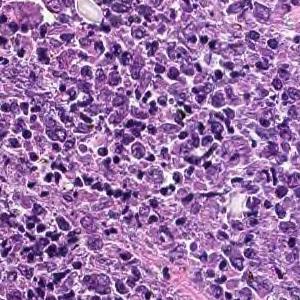
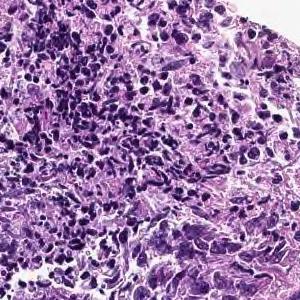
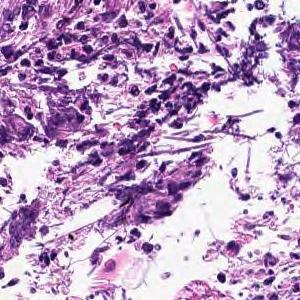
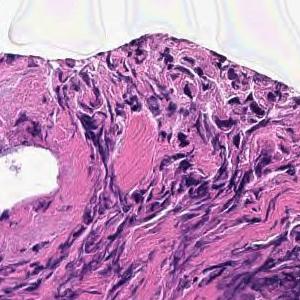
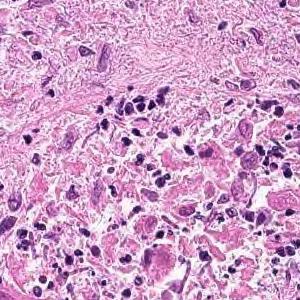
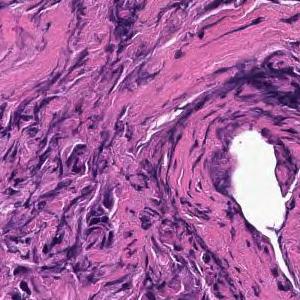
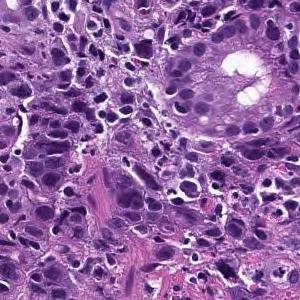
×20 · hematoxylin and eosin stain · 7 tiles cut from one stomach biopsy slide · each 300 × 300 pixels.
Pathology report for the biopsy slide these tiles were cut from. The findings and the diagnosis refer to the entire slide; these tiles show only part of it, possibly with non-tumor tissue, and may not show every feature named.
Cancers with polygonal nuclei do not show glandular formation and are densely, in part, cord-like and proliferate. Poorly differentiated adenocarcinoma
Histological subtype: Poorly differentiated adenocarcinoma, non-solid type.
"Non-solid type" is a category of the Japanese Classification of Gastric Carcinoma.
